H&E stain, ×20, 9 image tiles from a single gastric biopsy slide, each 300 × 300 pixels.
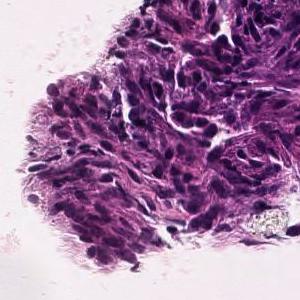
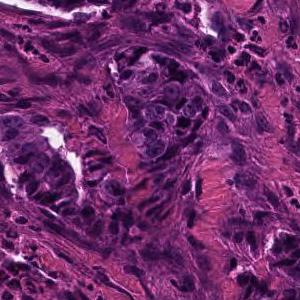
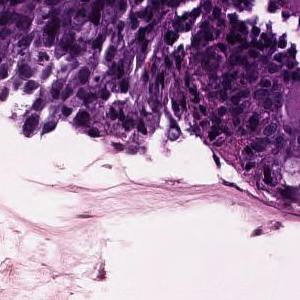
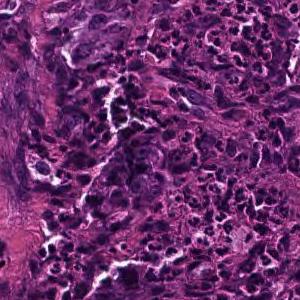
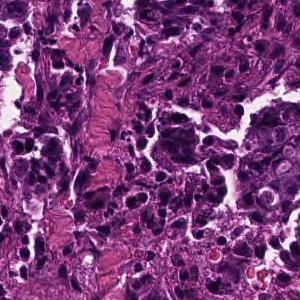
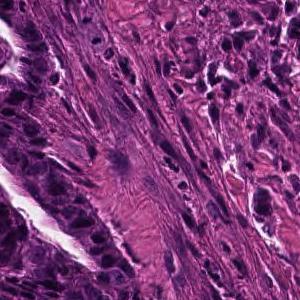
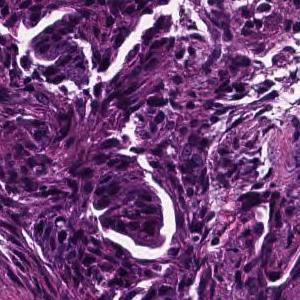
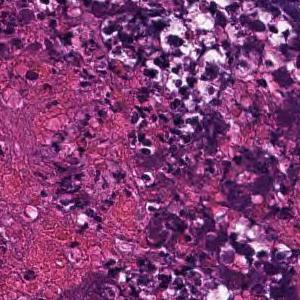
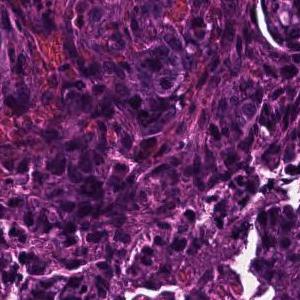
Report on the slide these tiles come from. What the report and the diagnosis say applies to the whole slide; these tiles may miss some of the features named and may include tissue that is not tumor.
Tumor tissue consisting of medium-sized, cord-like or irregular glandular infiltration is observed in the superficial epithelium. Poorly differentiated adenocarcinoma, non-solid type or moderately differentiated tubular adenocarcinoma
Histologic type: Moderately to poorly differentiated adenocarcinoma.
The term "non-solid type" comes from the Japanese Classification of Gastric Carcinoma.
